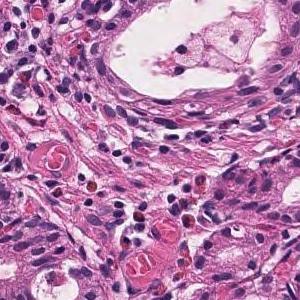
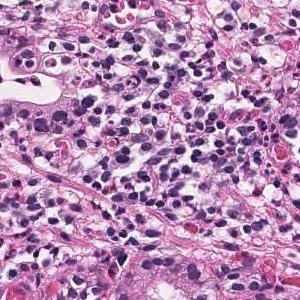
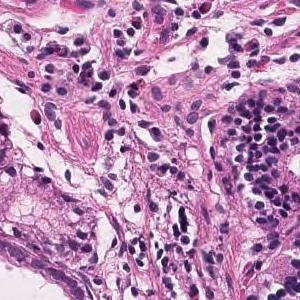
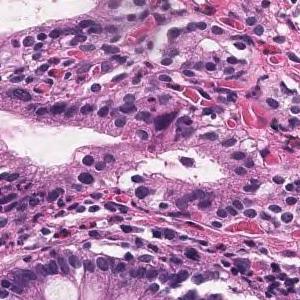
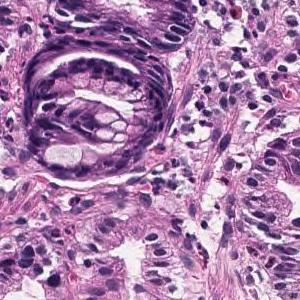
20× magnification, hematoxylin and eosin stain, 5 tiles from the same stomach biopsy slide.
The pathologist's report on the biopsy slide these tiles were taken from. The report describes the whole slide, diagnosis included: not every finding it names need appear in these tiles, which may also show non-tumor tissue.
On the superficial epithelium, tumor tissue consisting of large, irregular glandular ducts partially fused and infiltrated is observed. Well differentiated tubular adenocarcinoma
